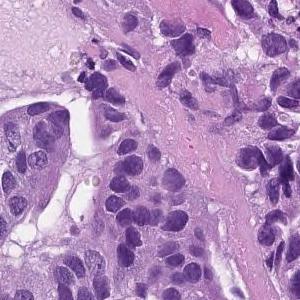
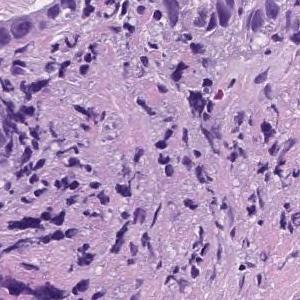
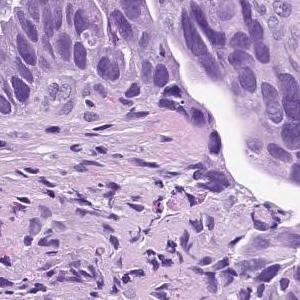
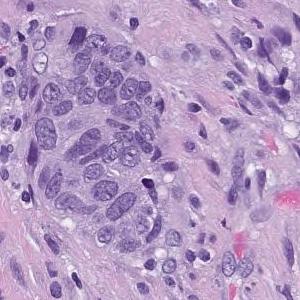
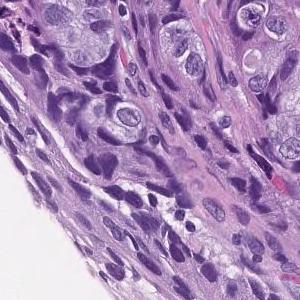
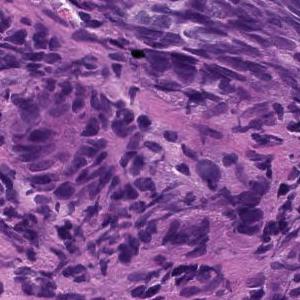
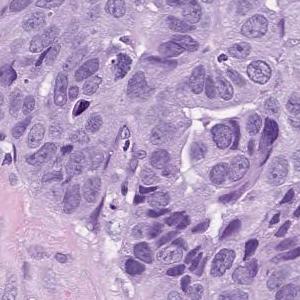
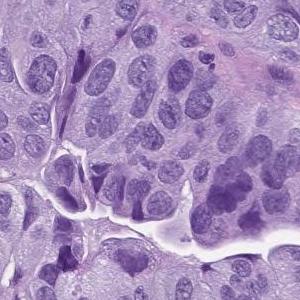
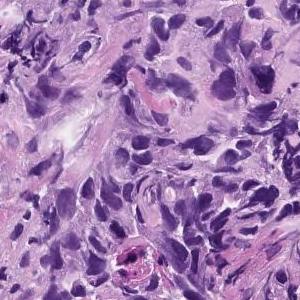
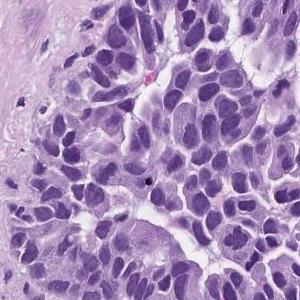
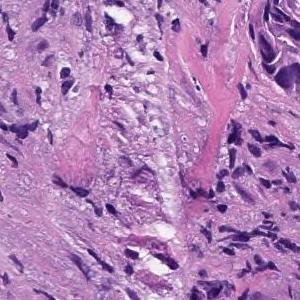
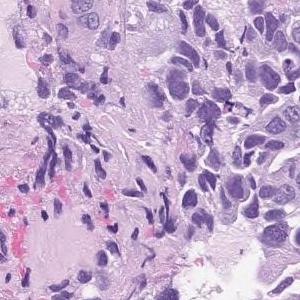
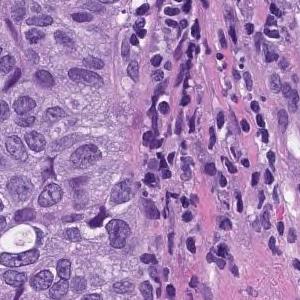
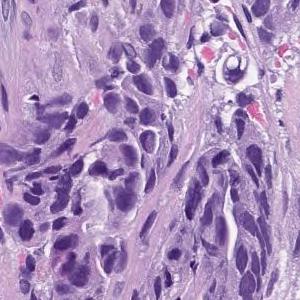
Scanned at ×20, H&E, 14 tiles cut from one stomach biopsy slide.
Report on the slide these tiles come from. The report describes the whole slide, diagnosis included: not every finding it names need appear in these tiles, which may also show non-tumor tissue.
In the superficial epithelium, tumor tissue that invades by forming medium-sized to small, irregular ducts is observed. moderately differentiated tubular adenocarcinoma.
